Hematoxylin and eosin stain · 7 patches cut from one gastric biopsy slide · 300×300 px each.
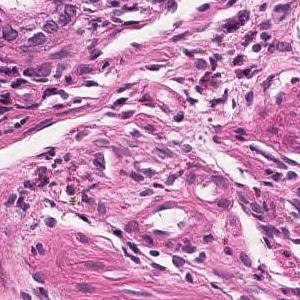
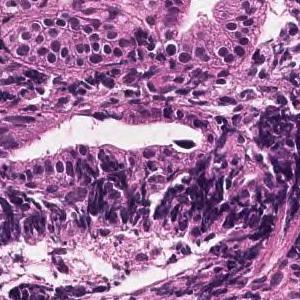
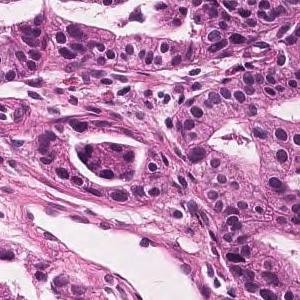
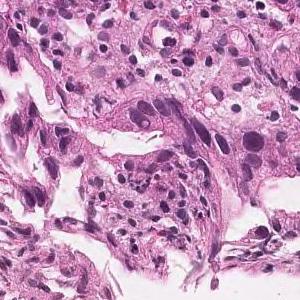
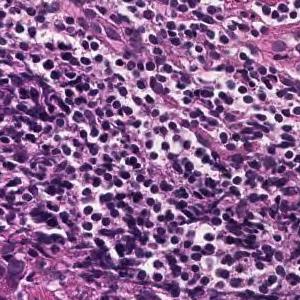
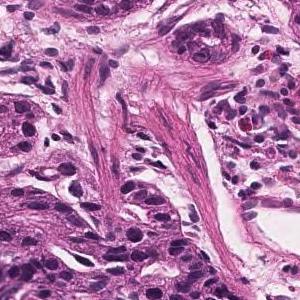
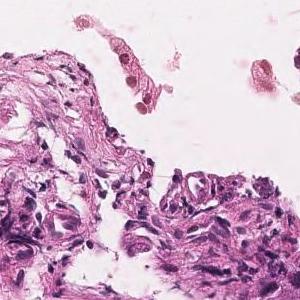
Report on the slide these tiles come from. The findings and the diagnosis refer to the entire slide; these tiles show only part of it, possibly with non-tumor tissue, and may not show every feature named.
Tumor tissue consisting of medium-sized and irregular ducts is observed infiltrating in the superficial epithelium. Tumor cells are highly columnar, with nuclei aligned basolaterally and polarized. Well differentiated tubular adenocarcinoma.
